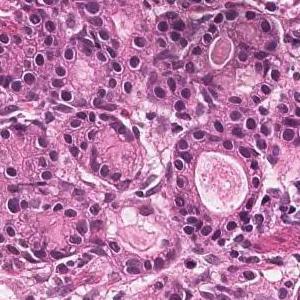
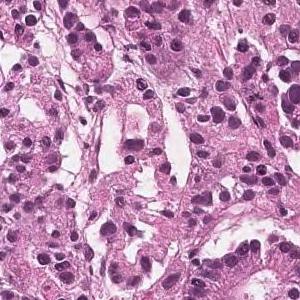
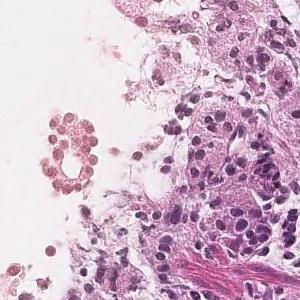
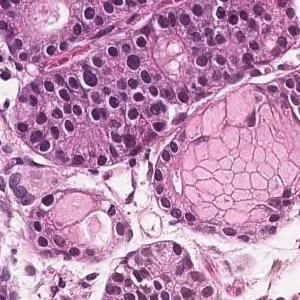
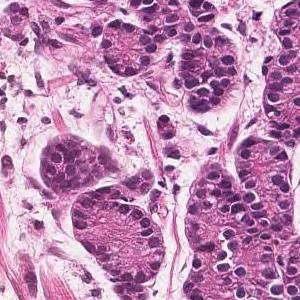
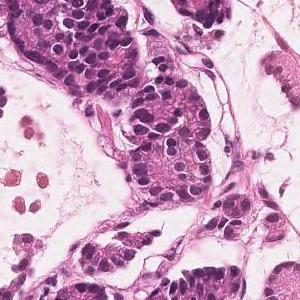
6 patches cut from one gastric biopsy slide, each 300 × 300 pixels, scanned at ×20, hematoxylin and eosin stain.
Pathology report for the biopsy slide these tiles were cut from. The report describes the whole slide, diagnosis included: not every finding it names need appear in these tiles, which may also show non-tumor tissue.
In the superficial epithelium, tumor tissue that invades by forming medium-sized to small, irregular ducts is observed. Moderately differentiated adenocarcinoma.
Histologic type: Moderately differentiated tubular adenocarcinoma.
